H&E; 10 tiles cut from one stomach biopsy slide.
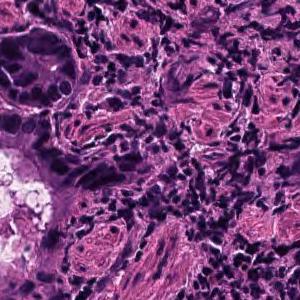
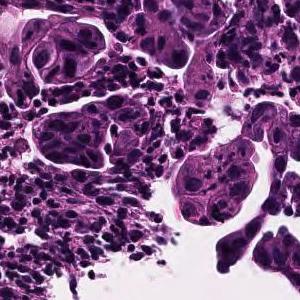
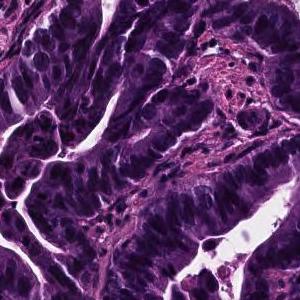
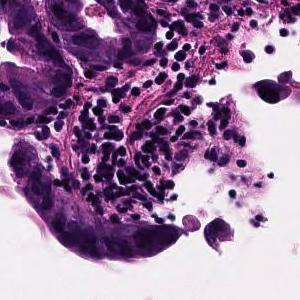
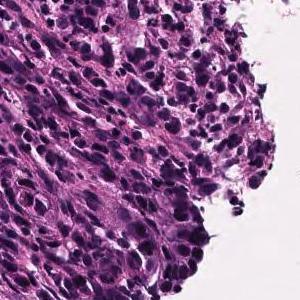
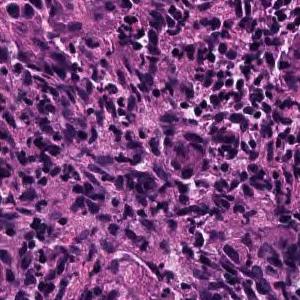
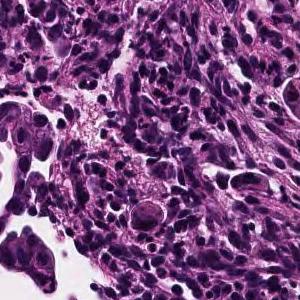
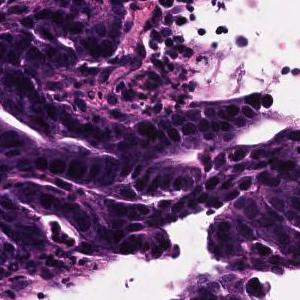
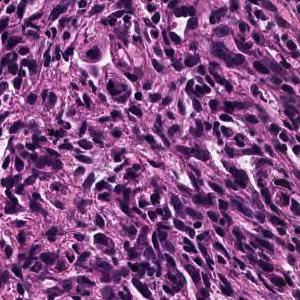
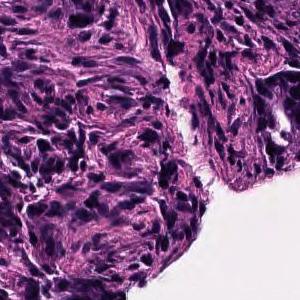
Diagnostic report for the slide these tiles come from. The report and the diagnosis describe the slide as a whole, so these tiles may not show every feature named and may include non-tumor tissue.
On the superficial epithelium, tumor tissue consisting of large, irregular glandular ducts partially fused and infiltrated is observed. Well to moderately differentiated tubular adenocarcinoma (well differentiated tubular adenocarcinoma, moderately differentiated tubular adenocarcinoma)
Histologic type: Well to moderately differentiated tubular adenocarcinoma.
